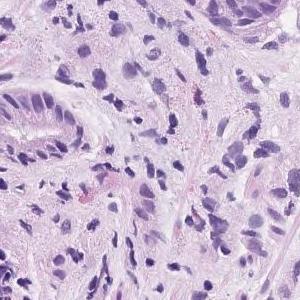
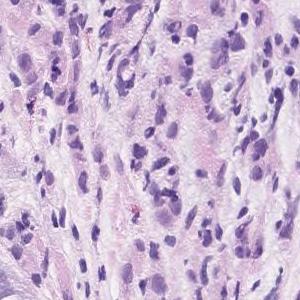
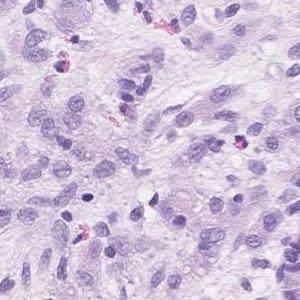
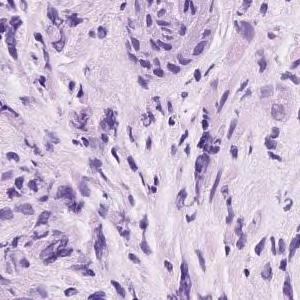
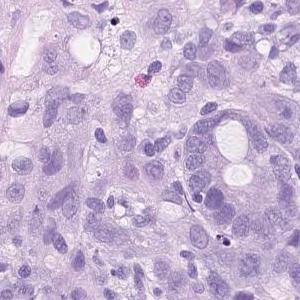
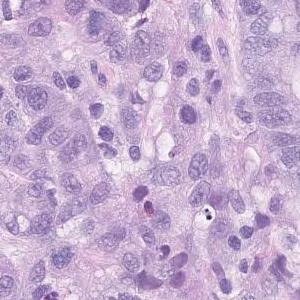
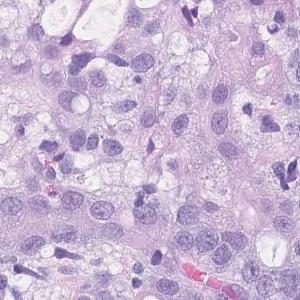
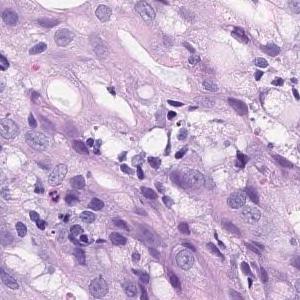
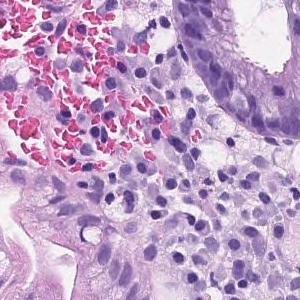
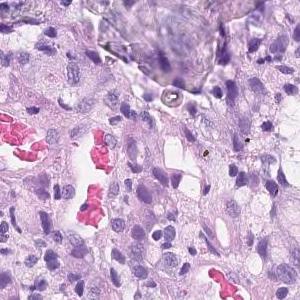
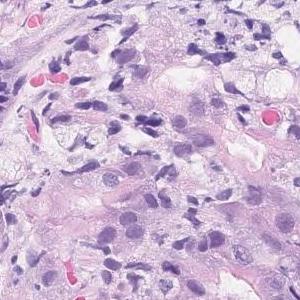
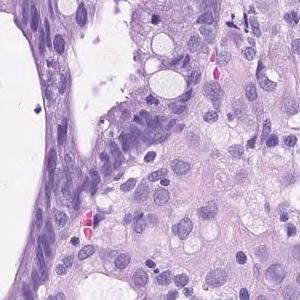
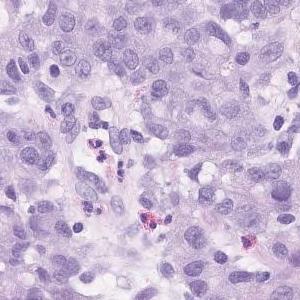
13 tiles cut from one stomach biopsy slide; each 300 × 300 pixels; scanned at ×20; H&E stain.
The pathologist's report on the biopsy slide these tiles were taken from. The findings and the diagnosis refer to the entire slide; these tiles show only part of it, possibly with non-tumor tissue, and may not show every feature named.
Group 5, Adenocarcinoma. Poorly differentiated adenocarcinoma, non-solid type
The term "non-solid type" comes from the Japanese Classification of Gastric Carcinoma.
